10 image tiles from a single gastric biopsy slide · 300 × 300 pixels each · H&E.
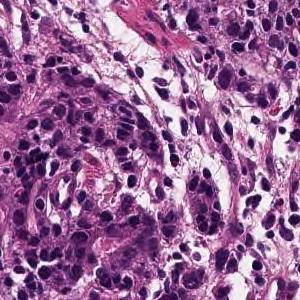
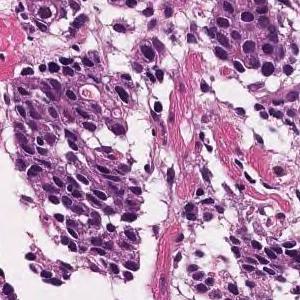
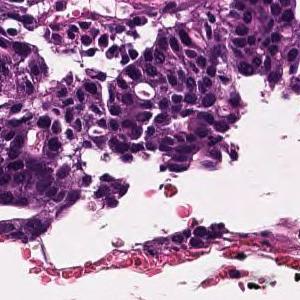
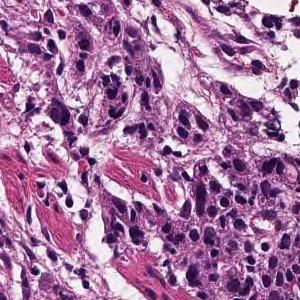
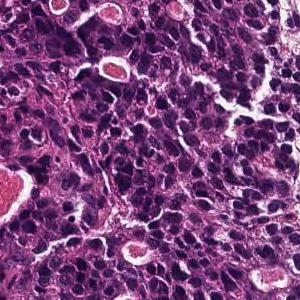
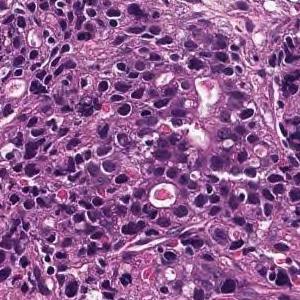
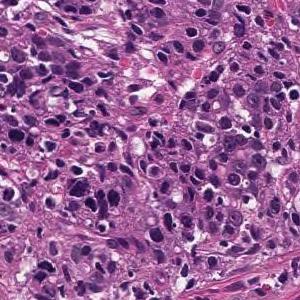
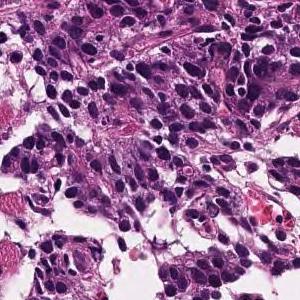
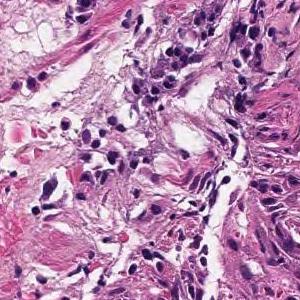
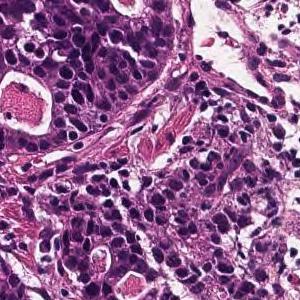
Pathology report for the slide these tiles were cut from. The findings and the diagnosis refer to the entire slide; these tiles show only part of it, possibly with non-tumor tissue, and may not show every feature named.
Medium to small, irregular glandular ducts are formed in the superficial epithelium, and in some cases, the glandular ducts are fused to show solid alveolar lesions and infiltrating tumor tissue is observed. Moderately to poorly differentiated adenocarcinoma.
